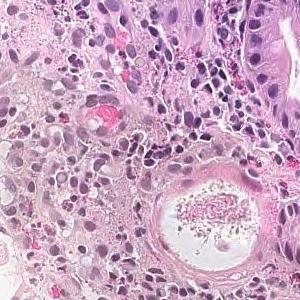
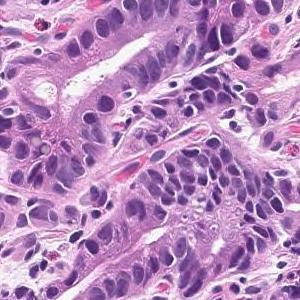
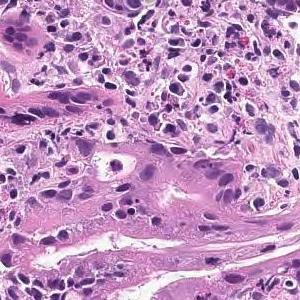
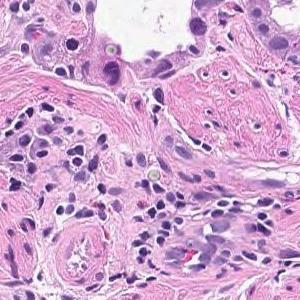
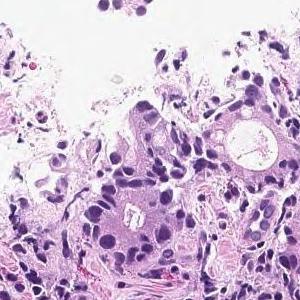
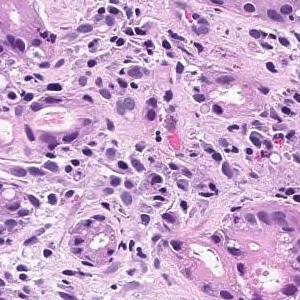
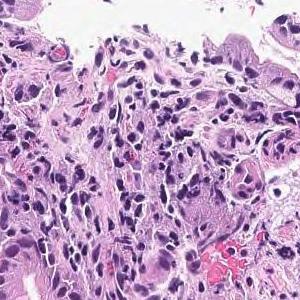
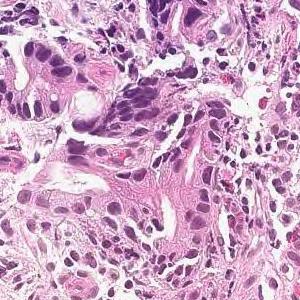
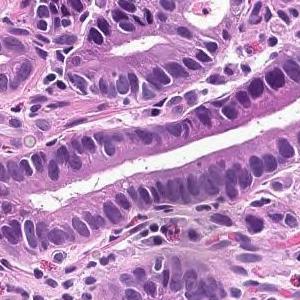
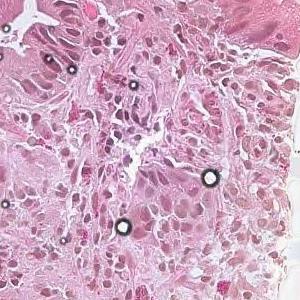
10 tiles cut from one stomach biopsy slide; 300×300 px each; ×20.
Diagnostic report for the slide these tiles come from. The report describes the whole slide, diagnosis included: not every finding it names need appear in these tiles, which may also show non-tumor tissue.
In the superficial epithelium, tumor tissue that invades by forming medium-sized to small, irregular ducts is observed. moderately differentiated tubular adenocarcinoma.
